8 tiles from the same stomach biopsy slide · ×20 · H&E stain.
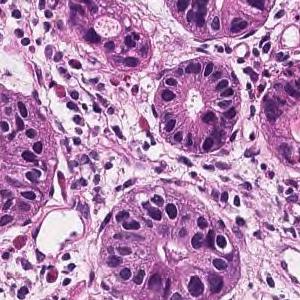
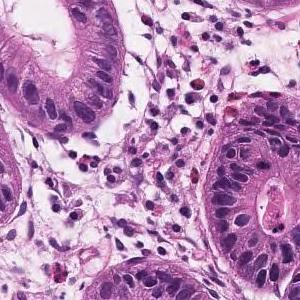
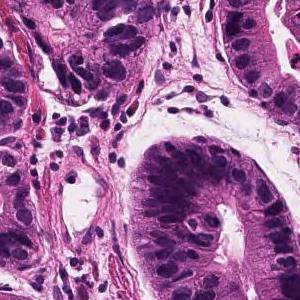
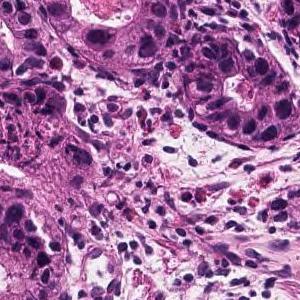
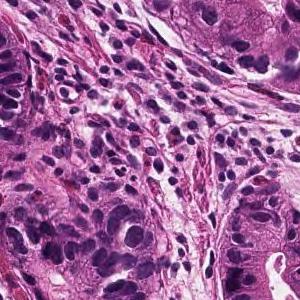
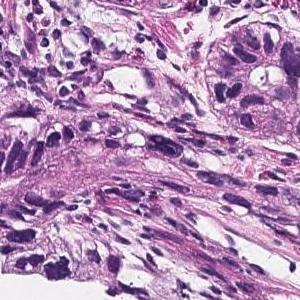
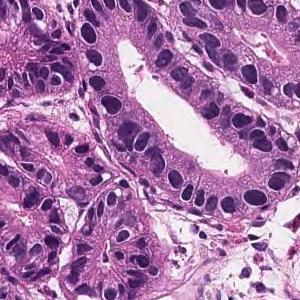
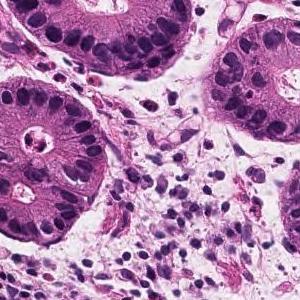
Report on the slide these tiles come from. The findings and the diagnosis refer to the entire slide; these tiles show only part of it, possibly with non-tumor tissue, and may not show every feature named.
Tumor tissue in which medium to small irregular ducts infiltrate and proliferate in the submucosa can be seen in the epithelium. Well differentiated tubular adenocarcinoma
